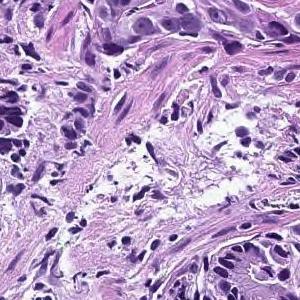
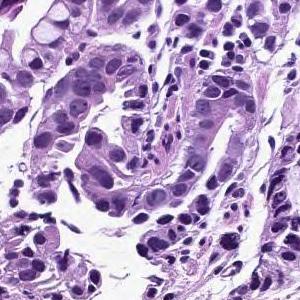
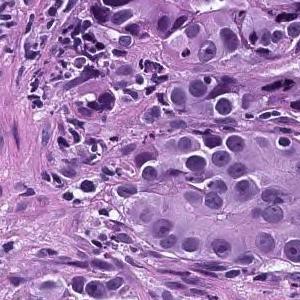
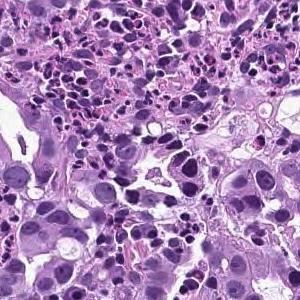
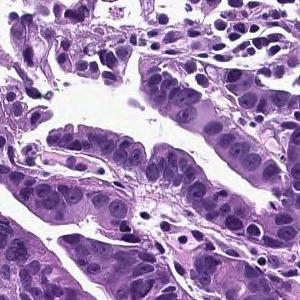
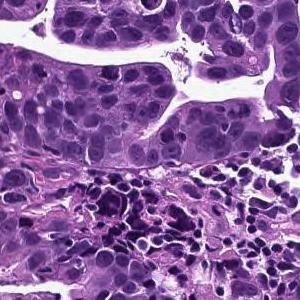
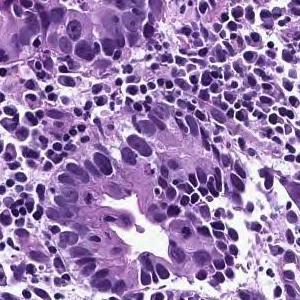
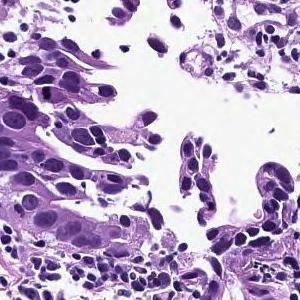
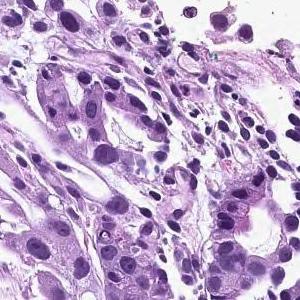
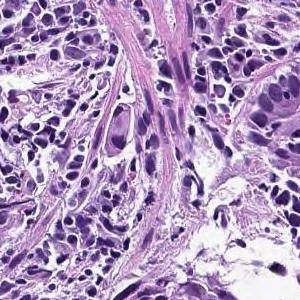
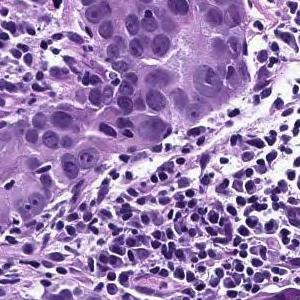
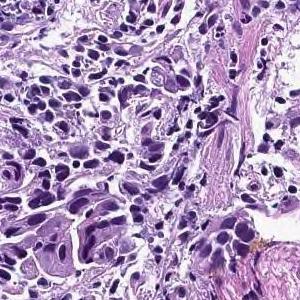
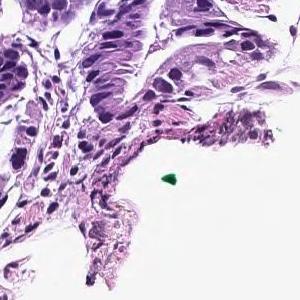
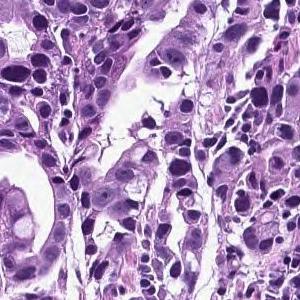
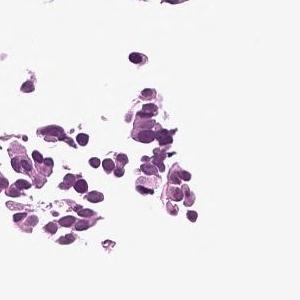
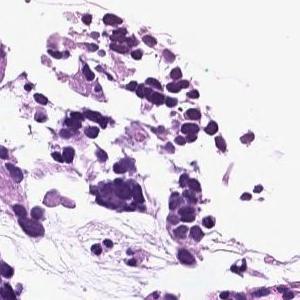
16 image tiles from a single gastric biopsy slide · 300×300 px each · 20× magnification.
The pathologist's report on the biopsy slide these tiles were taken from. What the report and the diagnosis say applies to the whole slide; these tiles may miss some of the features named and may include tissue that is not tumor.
In the superficial epithelium, tumor tissue that invades by forming medium-sized to small, irregular ducts is observed. moderately differentiated tubular adenocarcinoma.
